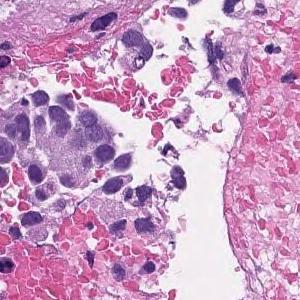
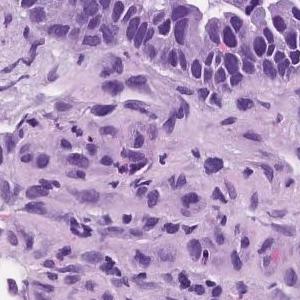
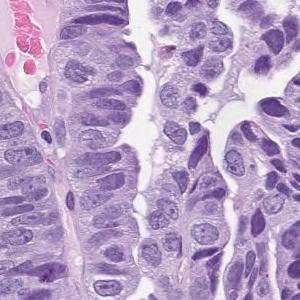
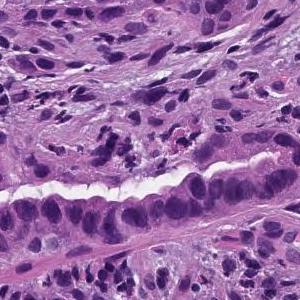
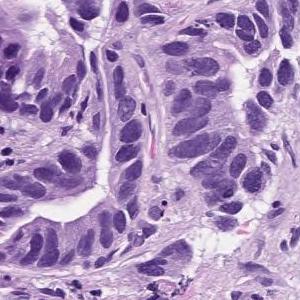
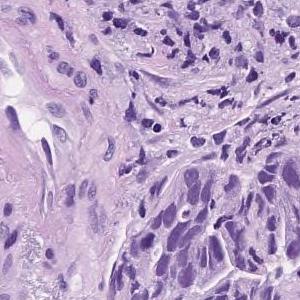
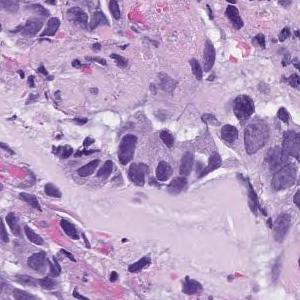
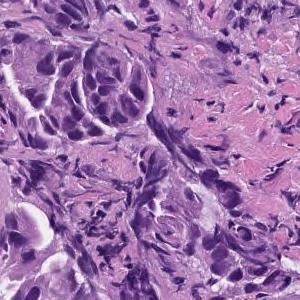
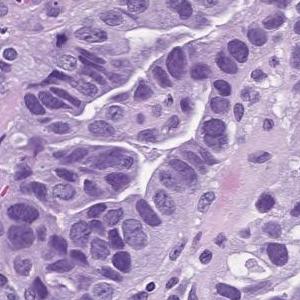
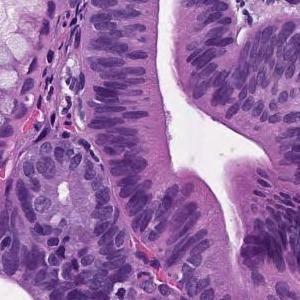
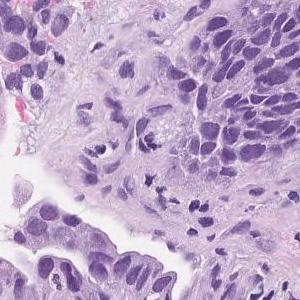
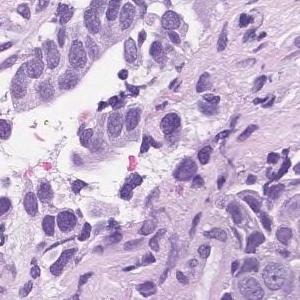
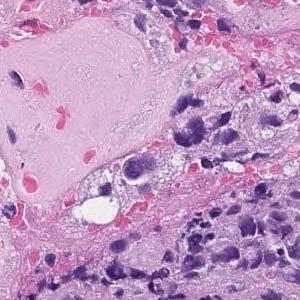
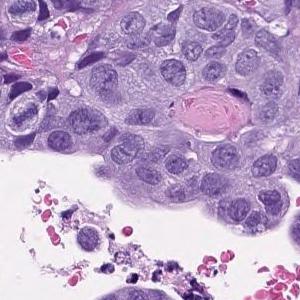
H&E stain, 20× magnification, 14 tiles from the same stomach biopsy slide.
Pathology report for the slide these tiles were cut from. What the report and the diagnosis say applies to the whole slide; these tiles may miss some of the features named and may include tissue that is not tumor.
In the superficial epithelium, tumor tissue that invades by forming medium-sized to small, irregular ducts is observed. moderately differentiated tubular adenocarcinoma.
